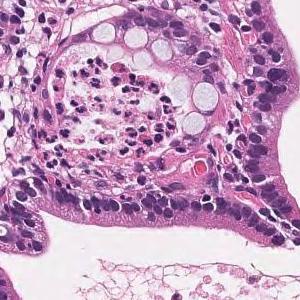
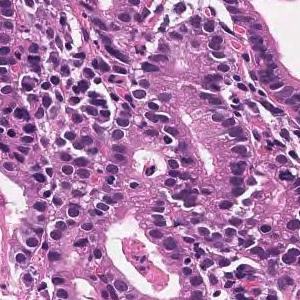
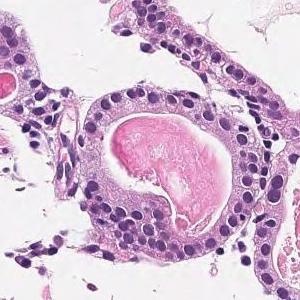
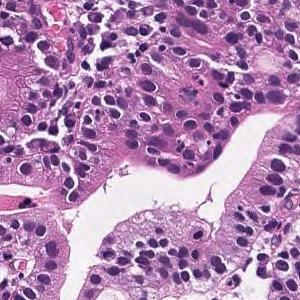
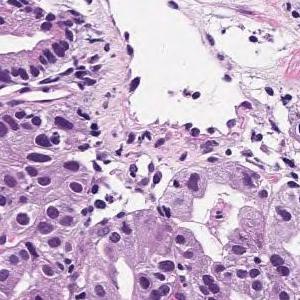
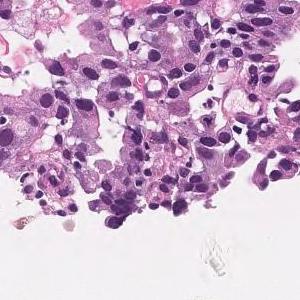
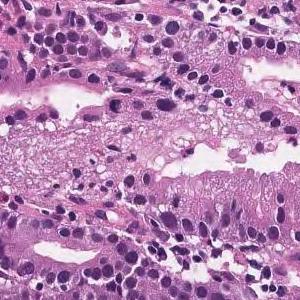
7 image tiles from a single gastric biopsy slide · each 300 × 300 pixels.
Diagnostic report for the slide these tiles come from. The report and the diagnosis cover the entire slide, so not every feature they name need be visible here, and some tissue shown may not be tumor.
Medium to small, irregular glandular ducts are formed in the superficial epithelium, and in some cases, the glandular ducts are fused to show solid alveolar lesions and infiltrating tumor tissue is observed. Moderately to poorly differentiated adenocarcinoma.
